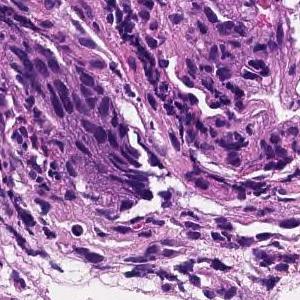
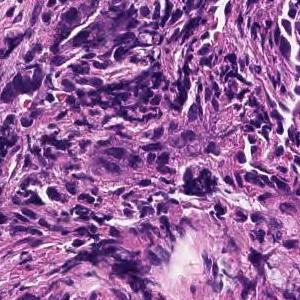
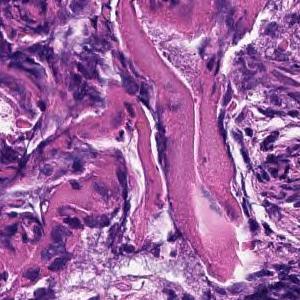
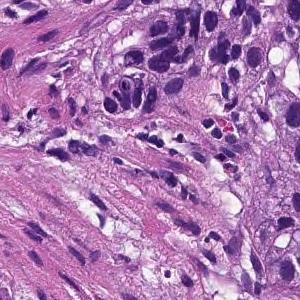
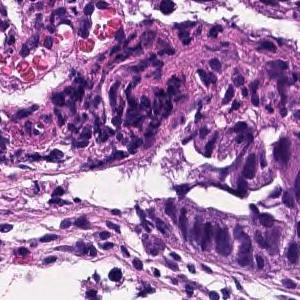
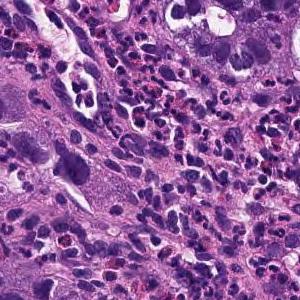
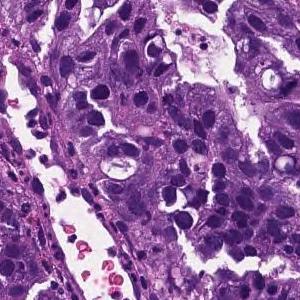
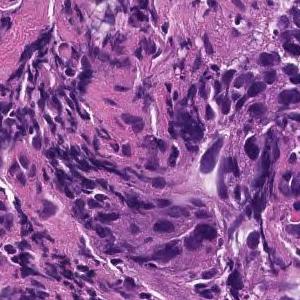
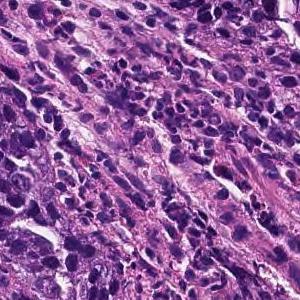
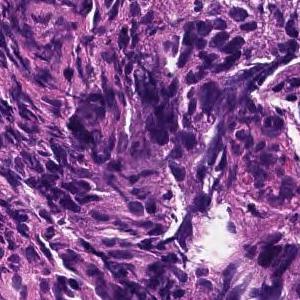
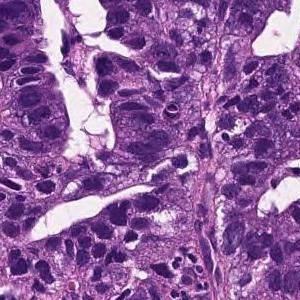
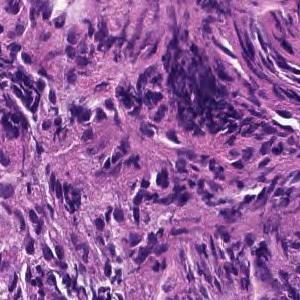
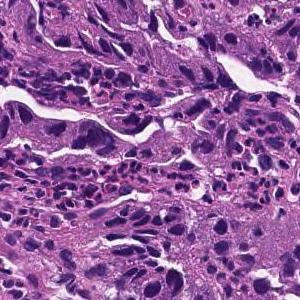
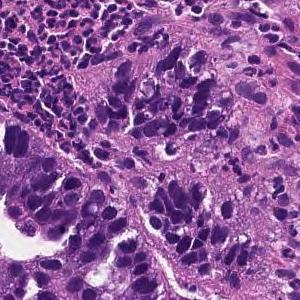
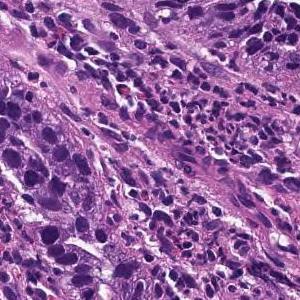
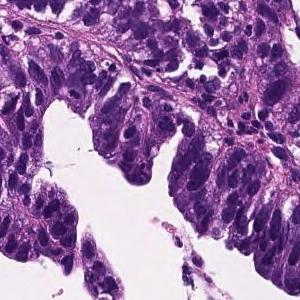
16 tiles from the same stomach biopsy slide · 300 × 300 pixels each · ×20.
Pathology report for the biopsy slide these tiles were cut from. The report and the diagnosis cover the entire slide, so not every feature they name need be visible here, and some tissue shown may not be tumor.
Tumor tissue consisting of large papillary structures is found in the superficial epithelium. Papillary adenocarcinoma.
